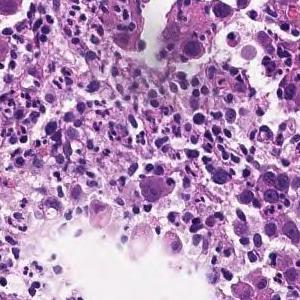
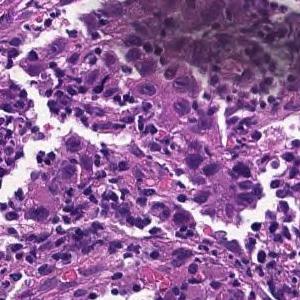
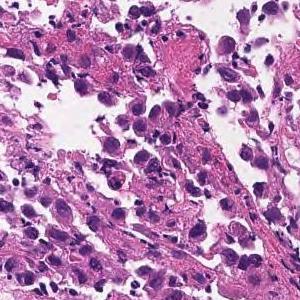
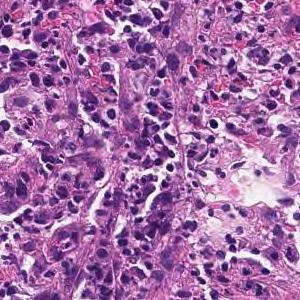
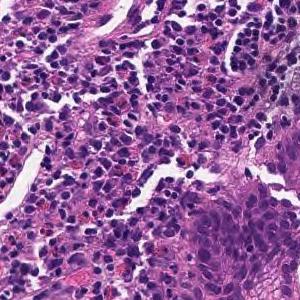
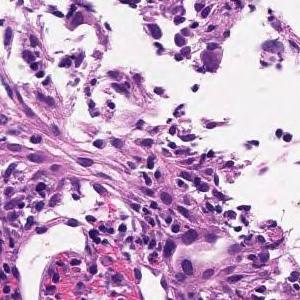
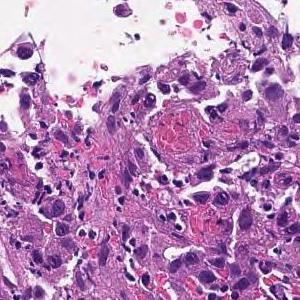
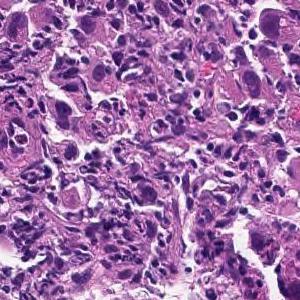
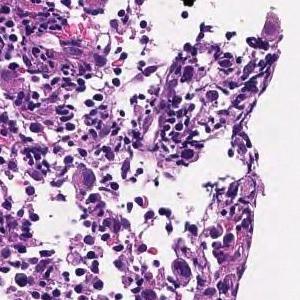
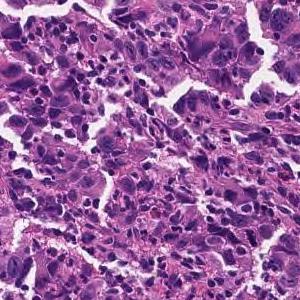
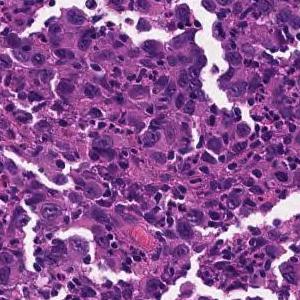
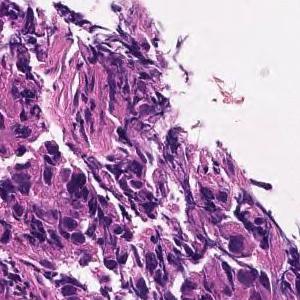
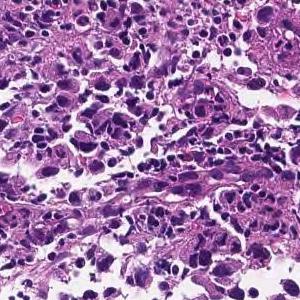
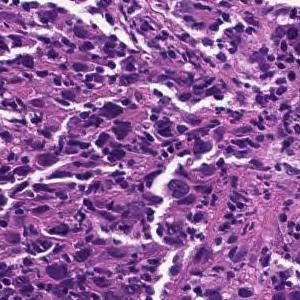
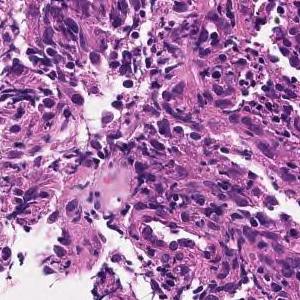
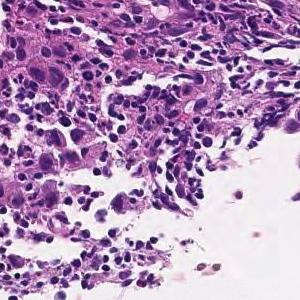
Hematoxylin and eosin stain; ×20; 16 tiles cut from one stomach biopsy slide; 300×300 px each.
Report on the slide these tiles come from. The report and the diagnosis cover the entire slide, so not every feature they name need be visible here, and some tissue shown may not be tumor.
The superficial epithelium shows a large sheet-like shape, and some tumor tissue infiltrates with small irregular ducts. Poorly differentiated adenocarcinoma, solid-type (poorly differentiated adenocarcinoma, solid type)
Subtype: Poorly differentiated adenocarcinoma, solid type, a category of the Japanese Classification of Gastric Carcinoma; in the WHO 2019 classification it is tubular adenocarcinoma, poorly differentiated.
